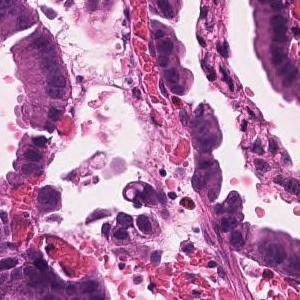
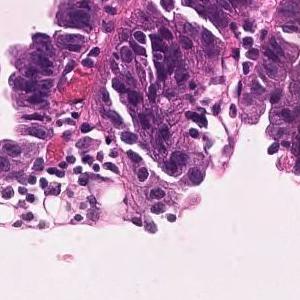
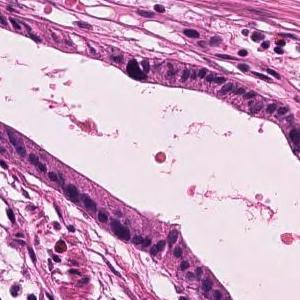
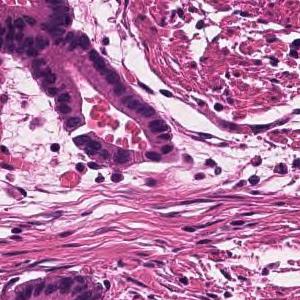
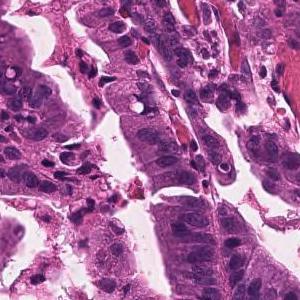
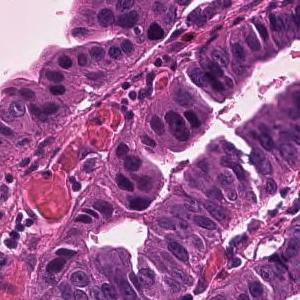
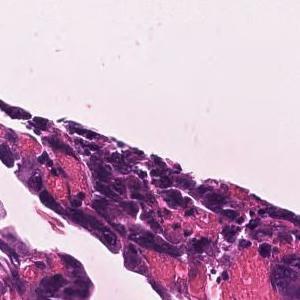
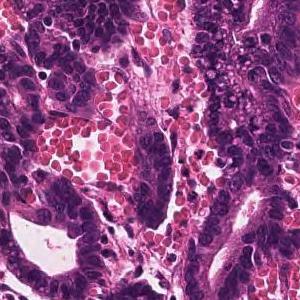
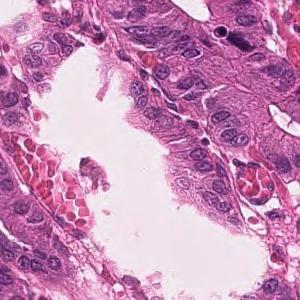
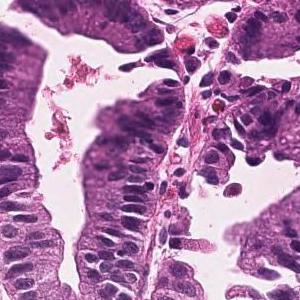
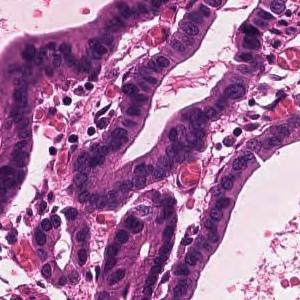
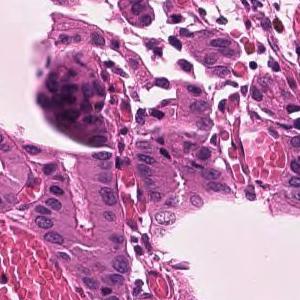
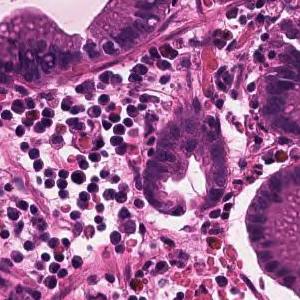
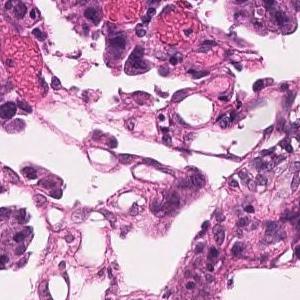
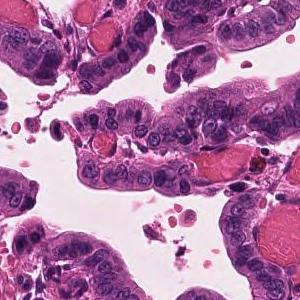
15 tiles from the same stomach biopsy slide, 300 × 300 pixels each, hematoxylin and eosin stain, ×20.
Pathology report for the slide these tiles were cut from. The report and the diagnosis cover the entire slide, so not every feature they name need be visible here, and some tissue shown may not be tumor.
Infiltrating tumor tissue with medium-sized, irregular ductal structure or large papillary appearance is observed. Well differentiated tubular adenocarcinoma
